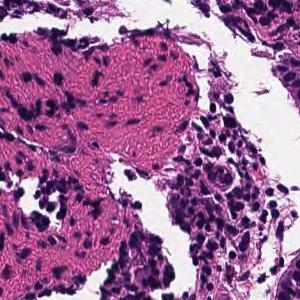
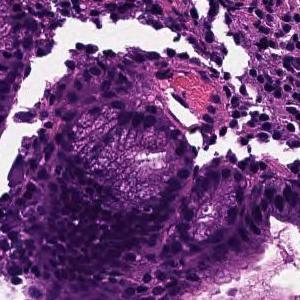
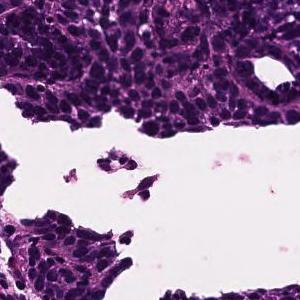
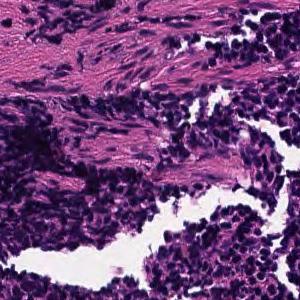
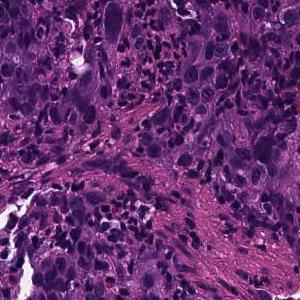
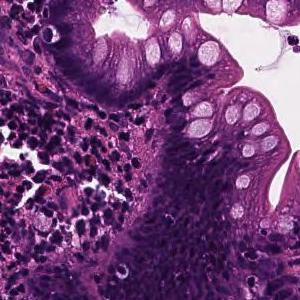
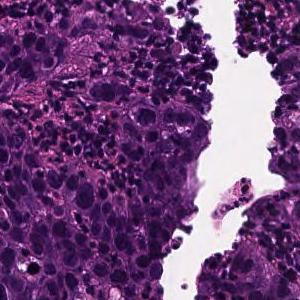
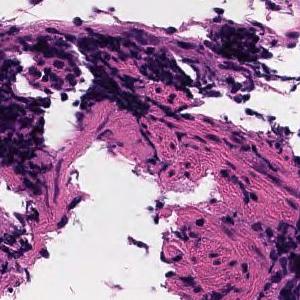
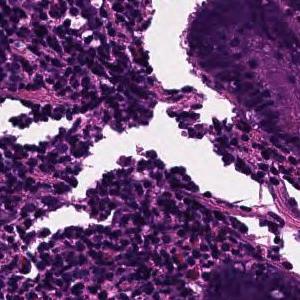
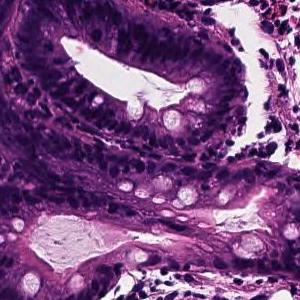
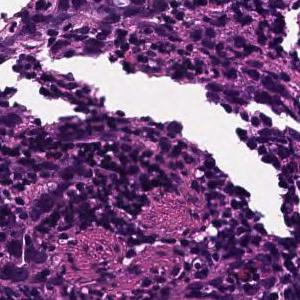
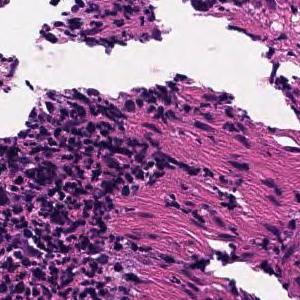
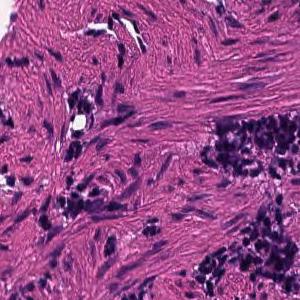
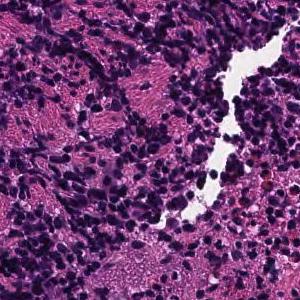
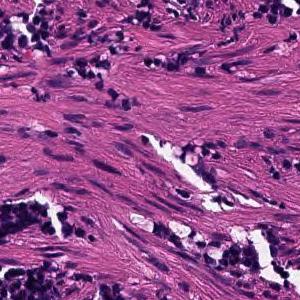
15 image tiles from a single gastric biopsy slide; 300 × 300 pixels each; hematoxylin and eosin stain; ×20.
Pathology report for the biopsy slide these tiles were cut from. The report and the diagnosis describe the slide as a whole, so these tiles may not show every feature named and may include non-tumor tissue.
Tumor tissue consisting of cord-like or small, irregular glandular ducts fused and infiltrated is observed in the superficial epithelium. Poorly differentiated adenocarcinoma, non-solid type
"Non-solid type" is a category of the Japanese Classification of Gastric Carcinoma.
